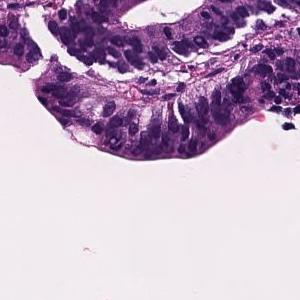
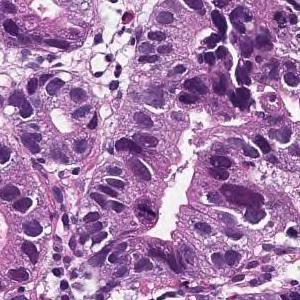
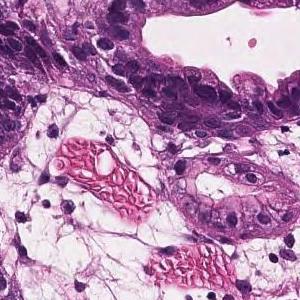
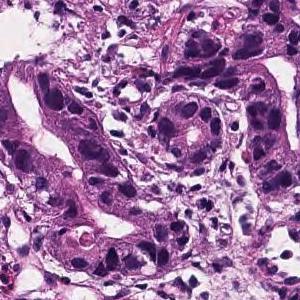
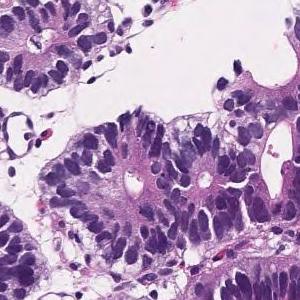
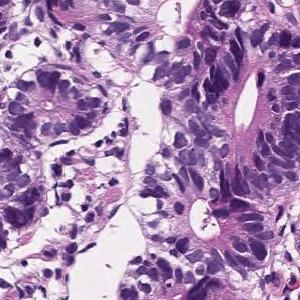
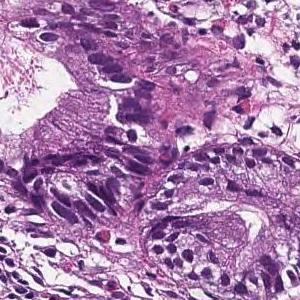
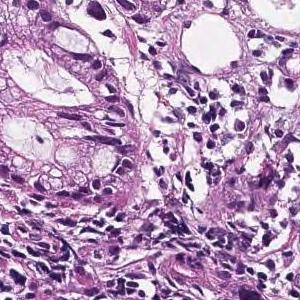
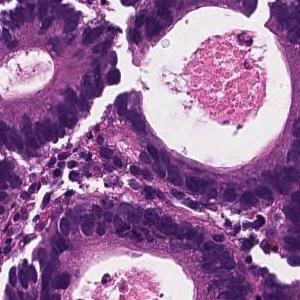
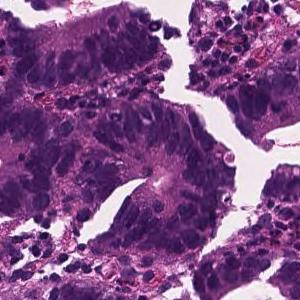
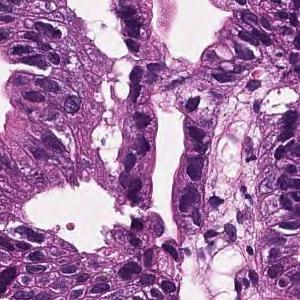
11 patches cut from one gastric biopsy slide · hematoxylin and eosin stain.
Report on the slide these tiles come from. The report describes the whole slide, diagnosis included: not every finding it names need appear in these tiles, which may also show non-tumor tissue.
On the superficial epithelium, tumor tissue consisting of large, irregular glandular ducts partially fused and infiltrated is observed. Well to moderately differentiated tubular adenocarcinoma (well differentiated tubular adenocarcinoma, moderately differentiated tubular adenocarcinoma)
Subtype: Well to moderately differentiated tubular adenocarcinoma.
